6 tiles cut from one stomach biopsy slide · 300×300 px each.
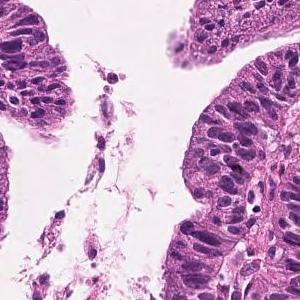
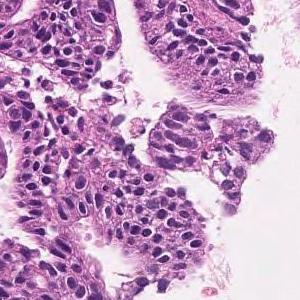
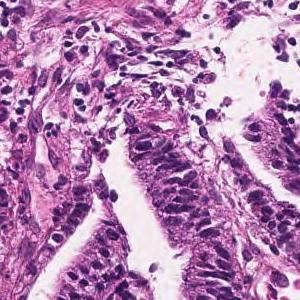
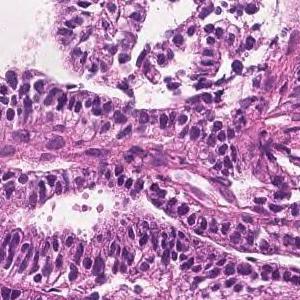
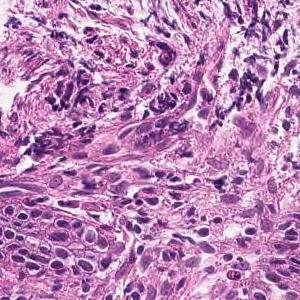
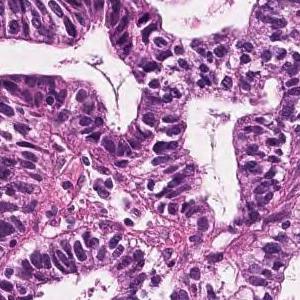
Pathology report for the biopsy slide these tiles were cut from. The report and the diagnosis describe the slide as a whole, so these tiles may not show every feature named and may include non-tumor tissue.
Tumor cells are large, highly columnar, large club-shaped nuclei, and are associated with chromatin aggregation. Papillary adenocarcinoma.
